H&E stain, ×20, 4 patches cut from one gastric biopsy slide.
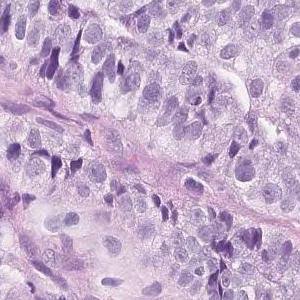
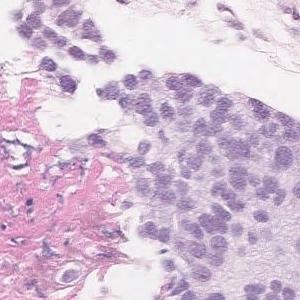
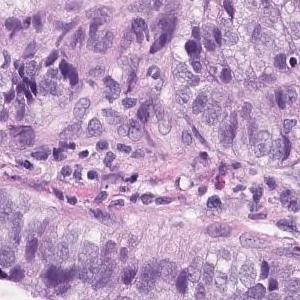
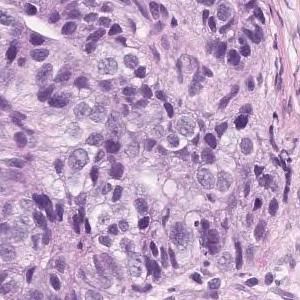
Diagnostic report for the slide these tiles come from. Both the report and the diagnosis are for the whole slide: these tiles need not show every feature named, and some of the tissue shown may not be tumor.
Tumor tissue in which highly columnar atypical epithelial cells with nuclear enlargement and increased nuclear chromatin show papillary to papillary ductal structure and proliferate is observed. Papillary adenocarcinoma.
